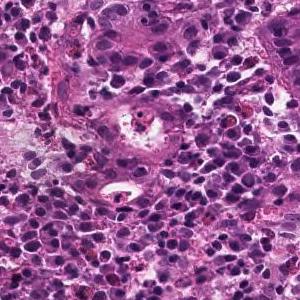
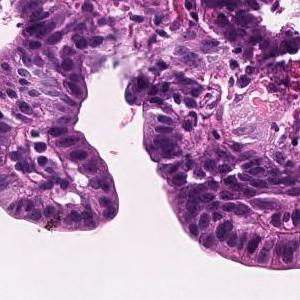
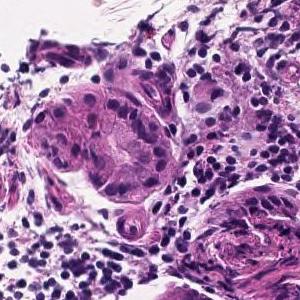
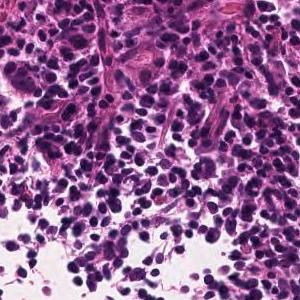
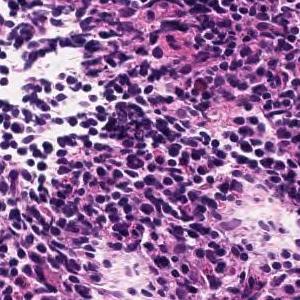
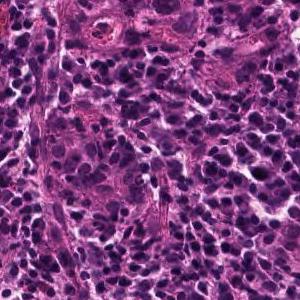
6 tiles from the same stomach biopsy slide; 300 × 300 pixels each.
Report on the slide these tiles come from. The report describes the whole slide, diagnosis included: not every finding it names need appear in these tiles, which may also show non-tumor tissue.
Tumor tissue consisting of medium-sized, cord-like or irregular glandular infiltration is observed in the superficial epithelium. Poorly differentiated adenocarcinoma, non-solid type or moderately differentiated tubular adenocarcinoma
Labeled in the dataset as poorly differentiated adenocarcinoma, non-solid type.
The term "non-solid type" comes from the Japanese Classification of Gastric Carcinoma.
